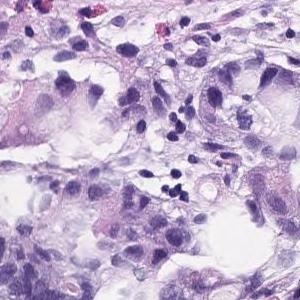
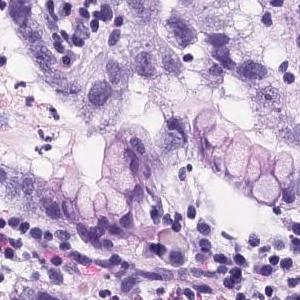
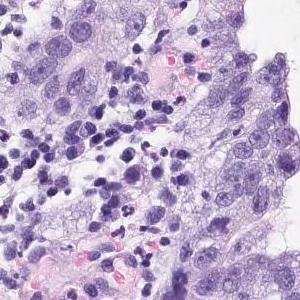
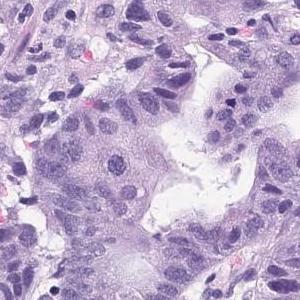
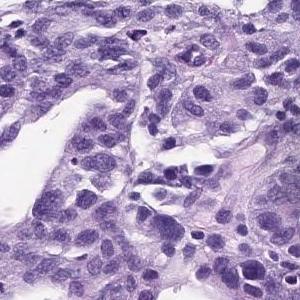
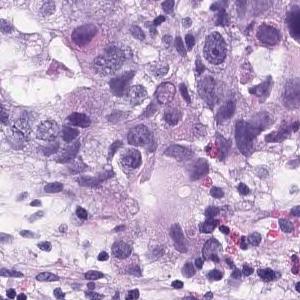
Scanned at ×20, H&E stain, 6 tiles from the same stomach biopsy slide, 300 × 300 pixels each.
Diagnostic report for the slide these tiles come from. The findings and the diagnosis refer to the entire slide; these tiles show only part of it, possibly with non-tumor tissue, and may not show every feature named.
In the superficial epithelium, tumor tissue that invades by forming medium-sized to small, irregular ducts is observed. Moderately differentiated adenocarcinoma.
Histological subtype: Moderately differentiated tubular adenocarcinoma.
